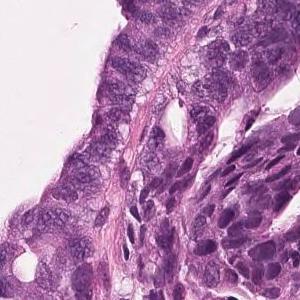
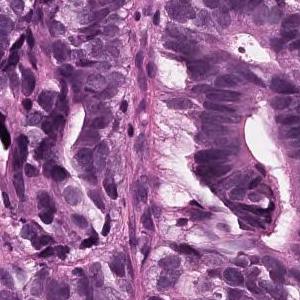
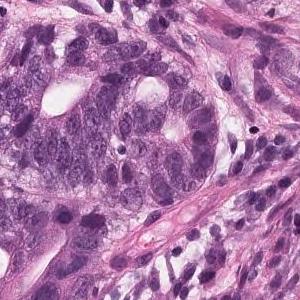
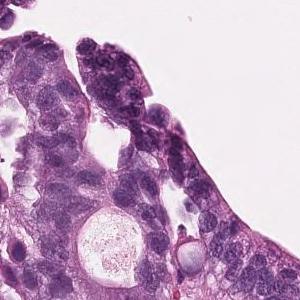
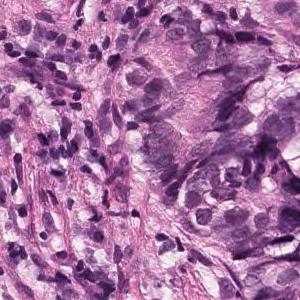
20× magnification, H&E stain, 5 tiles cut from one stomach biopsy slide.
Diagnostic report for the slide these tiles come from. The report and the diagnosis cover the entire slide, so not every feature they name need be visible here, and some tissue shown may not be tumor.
On the superficial epithelium, tumor tissue consisting of large, irregular glandular ducts partially fused and infiltrated is observed. Well to moderately differentiated tubular adenocarcinoma (well differentiated tubular adenocarcinoma, moderately differentiated tubular adenocarcinoma)
Histologic type: Well to moderately differentiated tubular adenocarcinoma.
